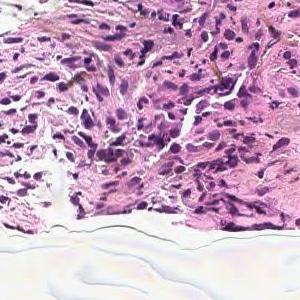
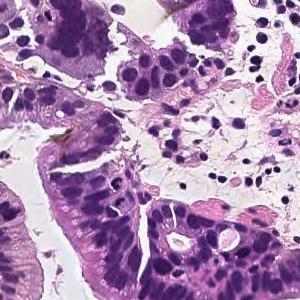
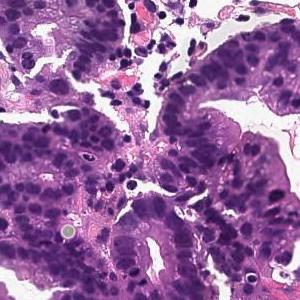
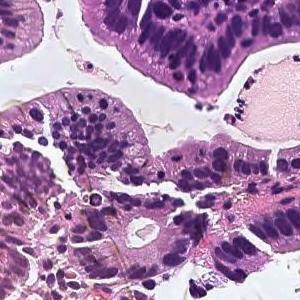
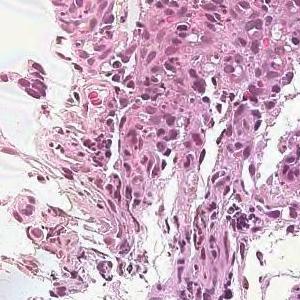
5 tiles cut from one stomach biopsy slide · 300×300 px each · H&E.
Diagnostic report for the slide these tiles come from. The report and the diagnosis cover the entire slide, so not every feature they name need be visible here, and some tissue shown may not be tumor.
On the superficial epithelium, tumor tissue consisting of large irregular glandular ducts partially fused and infiltrated is observed. Well to moderately differentiated tubular adenocarcinoma (well differentiated tubular adenocarcinoma, moderately differentiated tubular adenocarcinoma)
Subtype: Well to moderately differentiated tubular adenocarcinoma.
